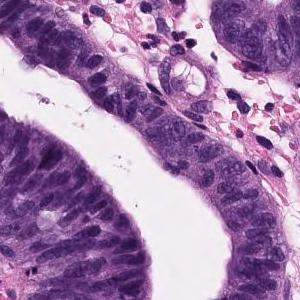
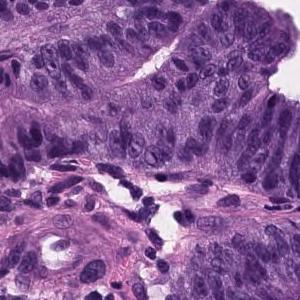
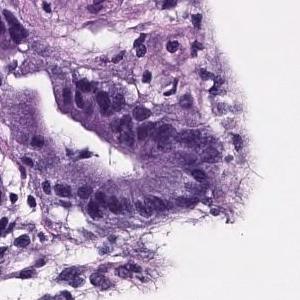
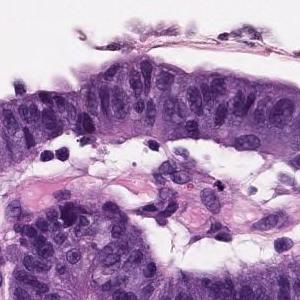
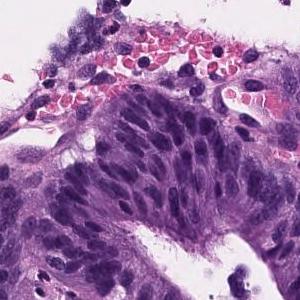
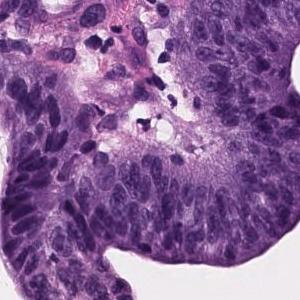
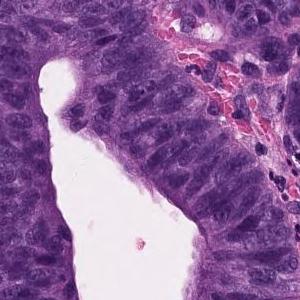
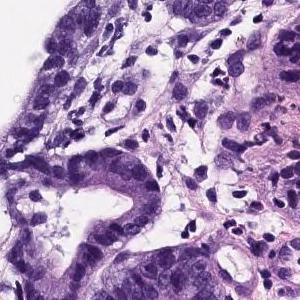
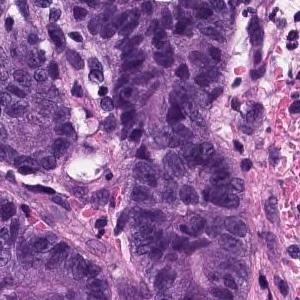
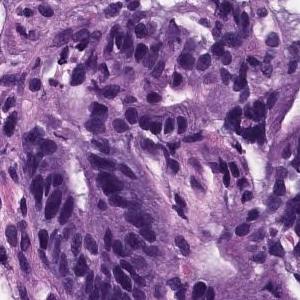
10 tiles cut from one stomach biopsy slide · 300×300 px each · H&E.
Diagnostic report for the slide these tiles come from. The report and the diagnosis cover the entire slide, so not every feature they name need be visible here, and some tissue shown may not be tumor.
Papillo-tubular growth of atypical tubules with nuclear swelling is observed. Well differentiated tubular adenocarcinoma
